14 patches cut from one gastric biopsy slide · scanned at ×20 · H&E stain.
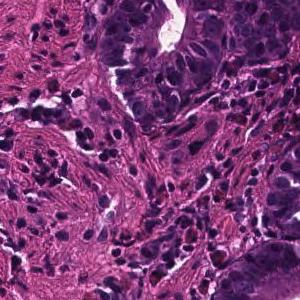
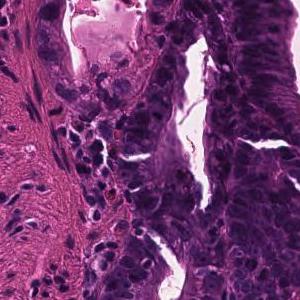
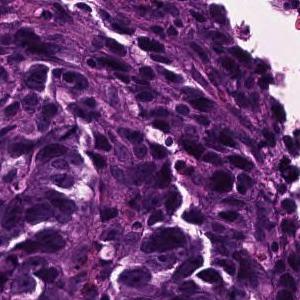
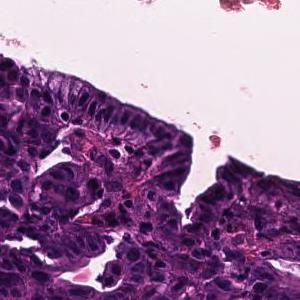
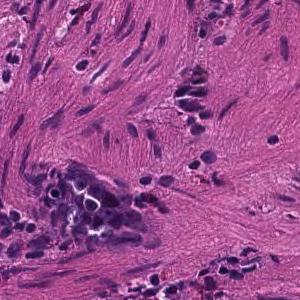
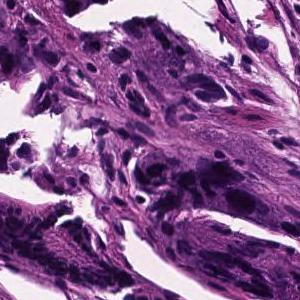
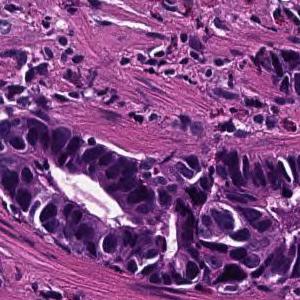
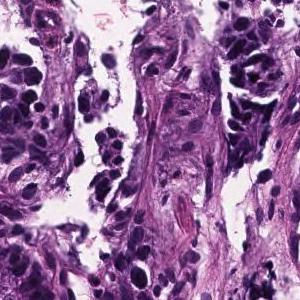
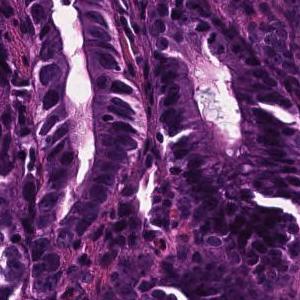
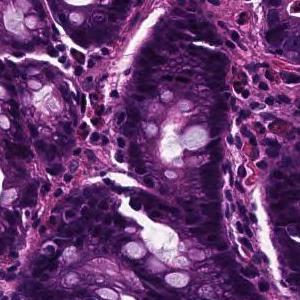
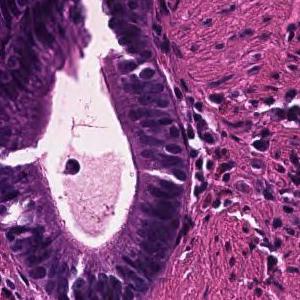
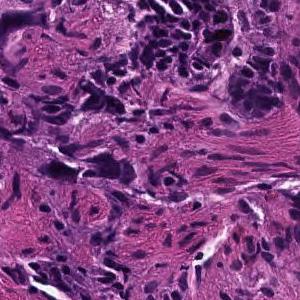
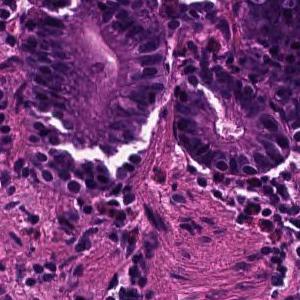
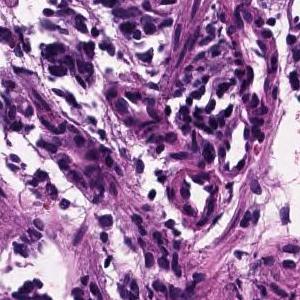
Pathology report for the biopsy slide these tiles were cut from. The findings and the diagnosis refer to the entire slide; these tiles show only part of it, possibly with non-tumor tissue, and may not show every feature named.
In the superficial epithelium, tumor tissue that invades by forming medium-sized to small, irregular ducts is observed. moderately differentiated tubular adenocarcinoma.
